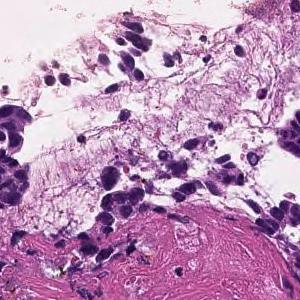
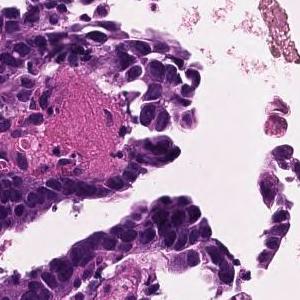
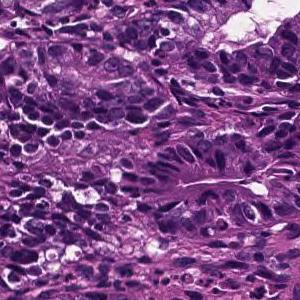
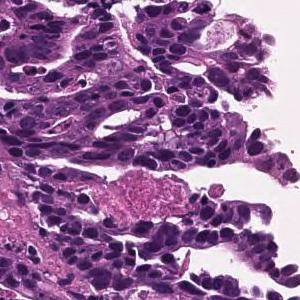
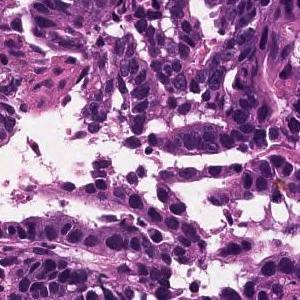
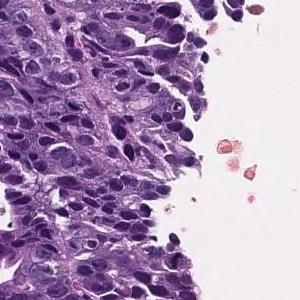
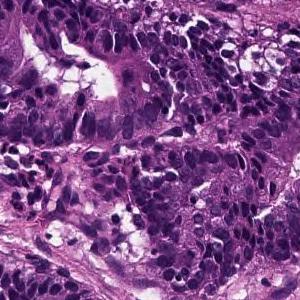
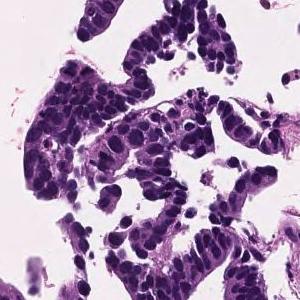
8 tiles cut from one stomach biopsy slide, ×20, hematoxylin and eosin stain.
The pathologist's report on the biopsy slide these tiles were taken from. What the report and the diagnosis say applies to the whole slide; these tiles may miss some of the features named and may include tissue that is not tumor.
Tumor cells are large, highly columnar, large club-shaped nuclei, and are associated with chromatin aggregation. Papillary adenocarcinoma.
